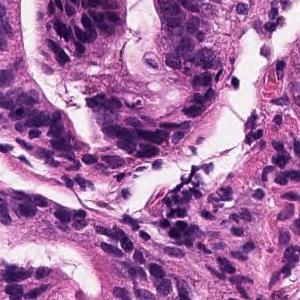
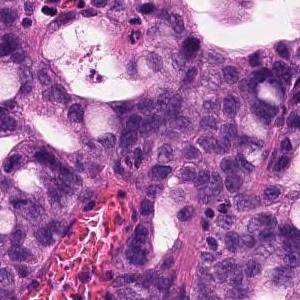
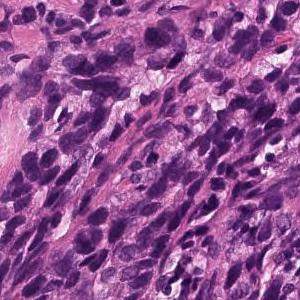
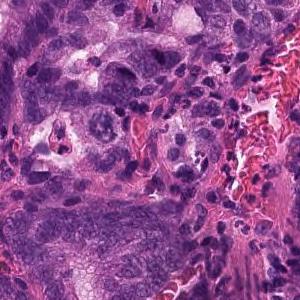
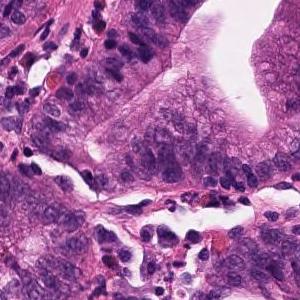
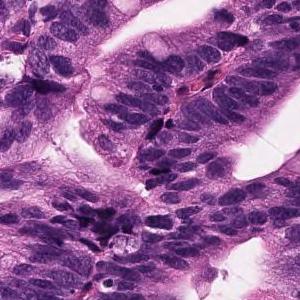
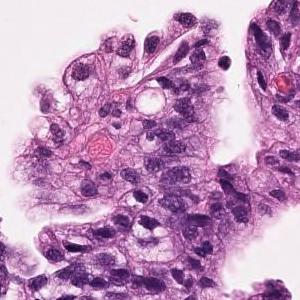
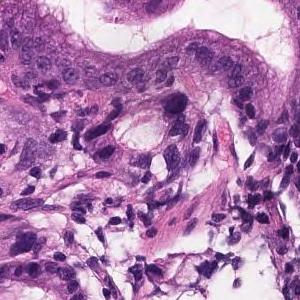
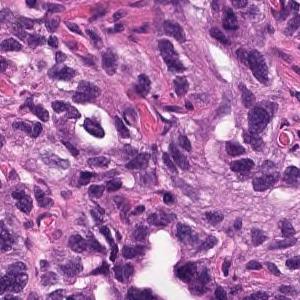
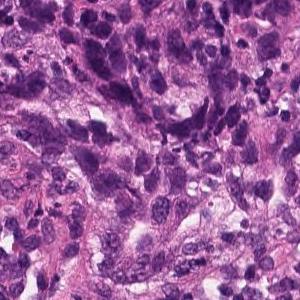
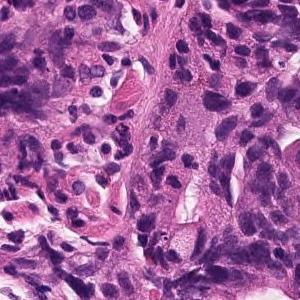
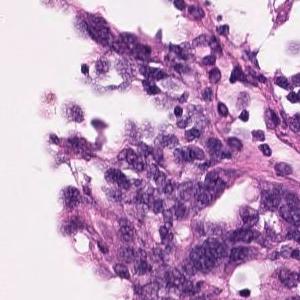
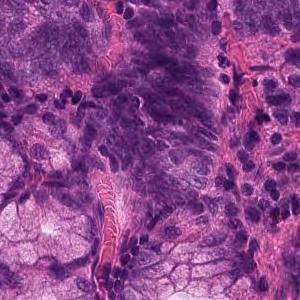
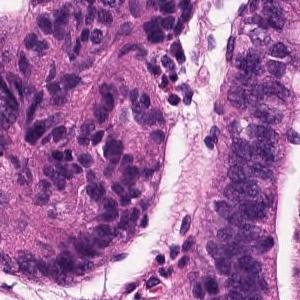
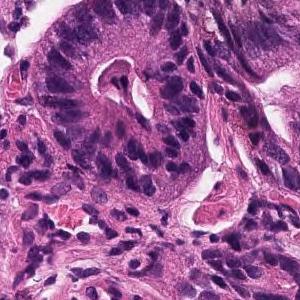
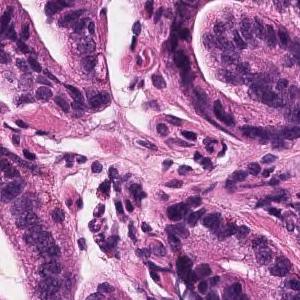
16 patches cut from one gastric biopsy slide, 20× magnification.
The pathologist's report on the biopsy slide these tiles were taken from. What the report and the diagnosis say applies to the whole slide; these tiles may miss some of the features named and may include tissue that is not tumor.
In the superficial epithelium, tumor tissue that invades by forming medium-sized to small, irregular ducts is observed. Moderately differentiated adenocarcinoma.
Tumor subtype: moderately differentiated tubular adenocarcinoma.
